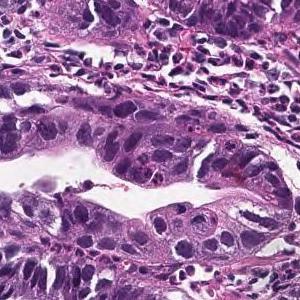
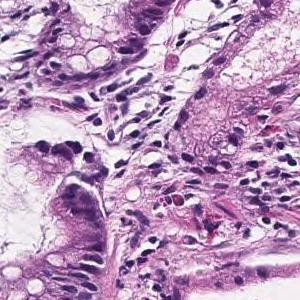
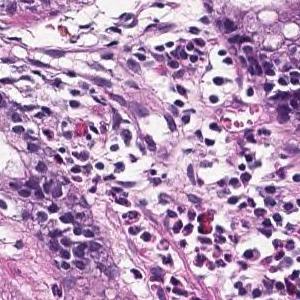
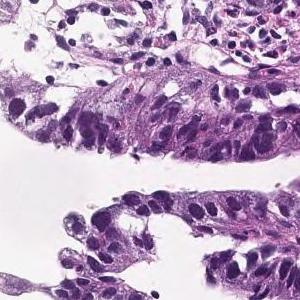
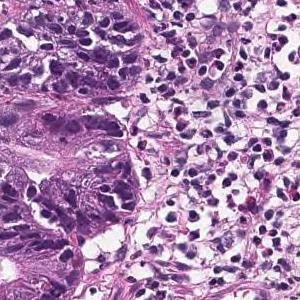
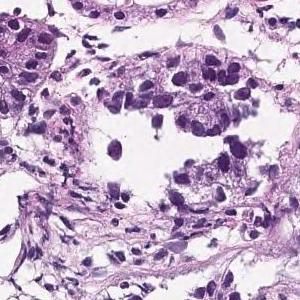
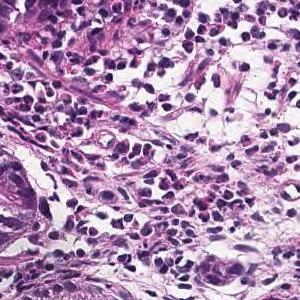
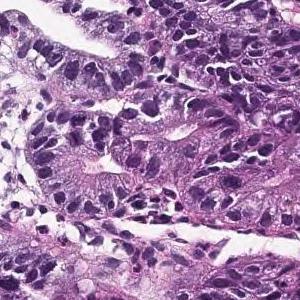
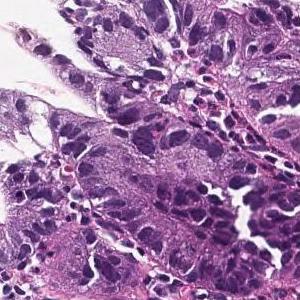
9 patches cut from one gastric biopsy slide, 20× magnification, H&E.
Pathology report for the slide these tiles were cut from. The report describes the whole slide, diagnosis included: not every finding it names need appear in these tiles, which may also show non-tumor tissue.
Tumor cells are large, highly columnar, large club-shaped nuclei, and are associated with chromatin aggregation. Papillary adenocarcinoma.
